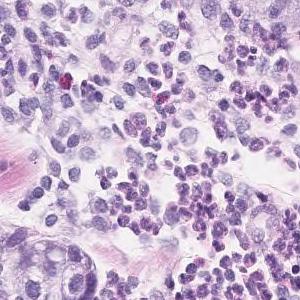
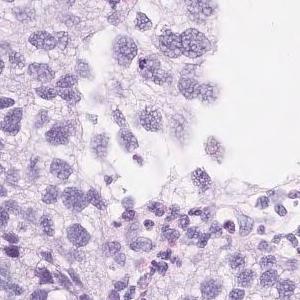
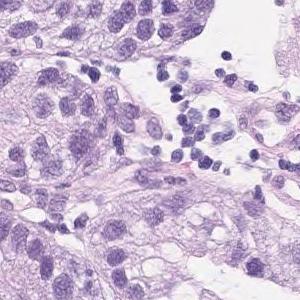
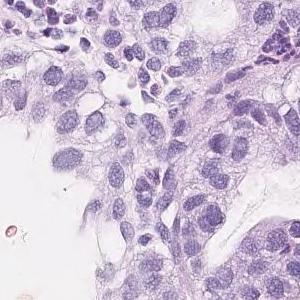
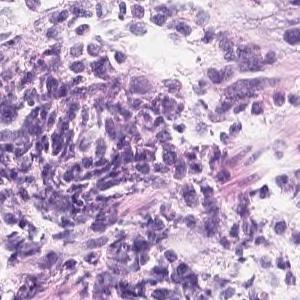
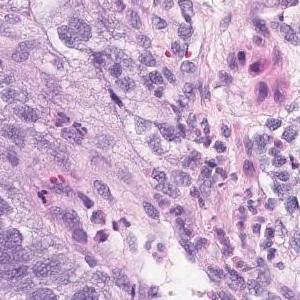
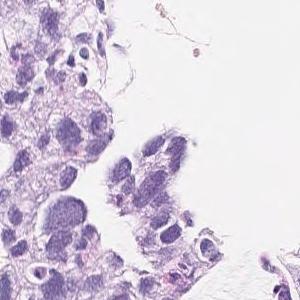
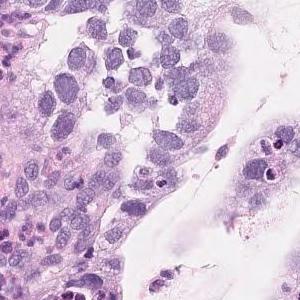
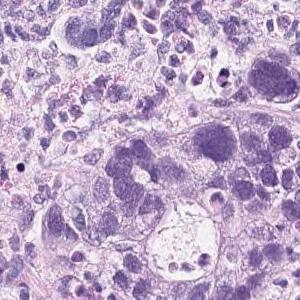
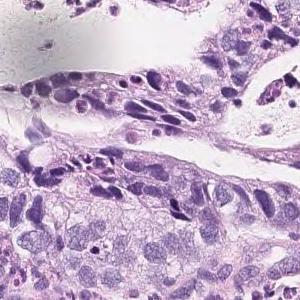
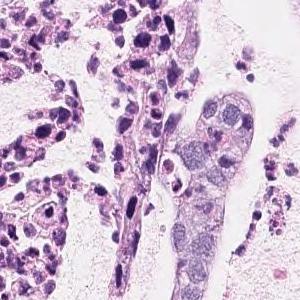
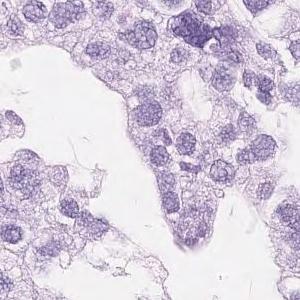
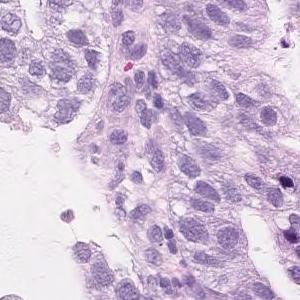
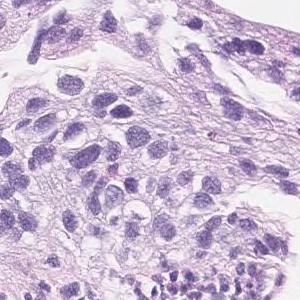
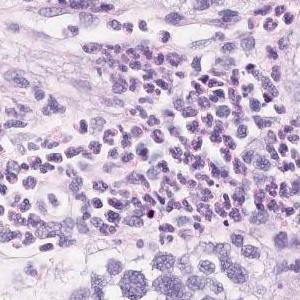
15 image tiles from a single gastric biopsy slide · hematoxylin and eosin stain.
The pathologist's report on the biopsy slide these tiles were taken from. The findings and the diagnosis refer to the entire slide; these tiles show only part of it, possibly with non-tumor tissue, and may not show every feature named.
On the superficial epithelium, tumor tissue consisting of large, irregular glandular ducts partially fused and infiltrated is observed. Well to moderately differentiated tubular adenocarcinoma (well differentiated tubular adenocarcinoma, moderately differentiated tubular adenocarcinoma)
Histologic type: Well to moderately differentiated tubular adenocarcinoma.
